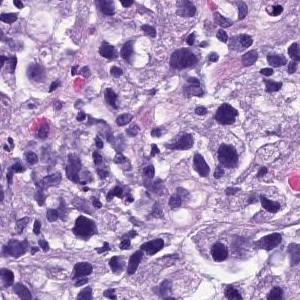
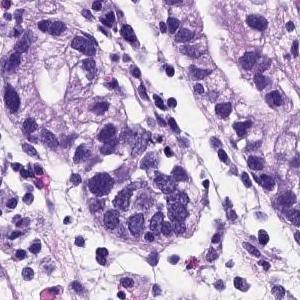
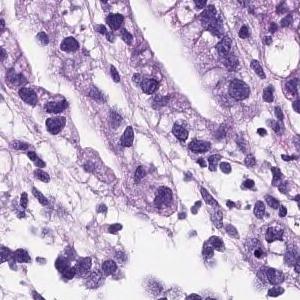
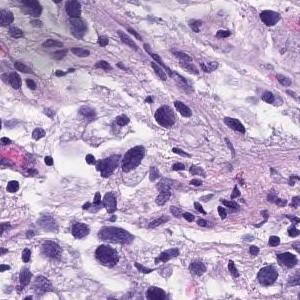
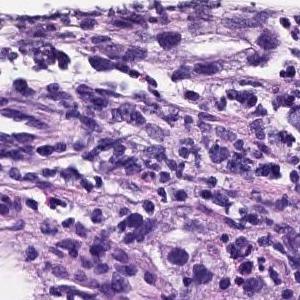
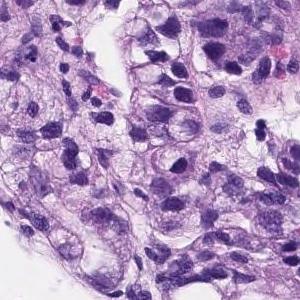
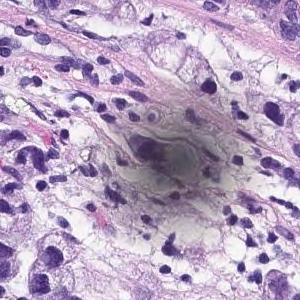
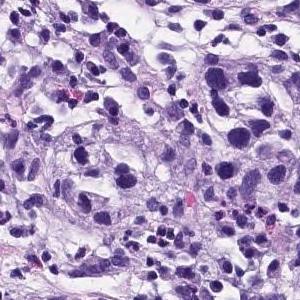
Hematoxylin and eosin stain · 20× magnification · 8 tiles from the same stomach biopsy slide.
Report on the slide these tiles come from. The findings and the diagnosis refer to the entire slide; these tiles show only part of it, possibly with non-tumor tissue, and may not show every feature named.
Medium to small, irregular glandular ducts are formed in the superficial epithelium, and in some cases, the glandular ducts are fused to show solid alveolar lesions and infiltrating tumor tissue is observed. Poorly differentiated adenocarcinoma, Moderately differentiated adenocarcinoma.
The dataset labels this slide moderately differentiated tubular adenocarcinoma.
